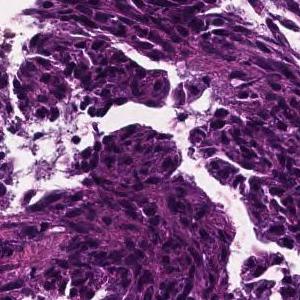
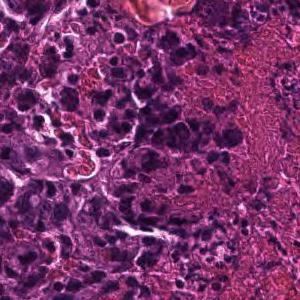
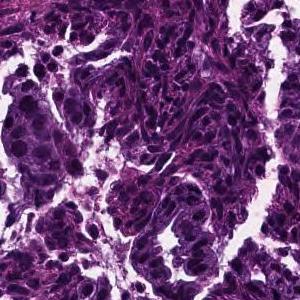
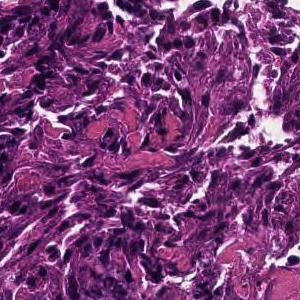
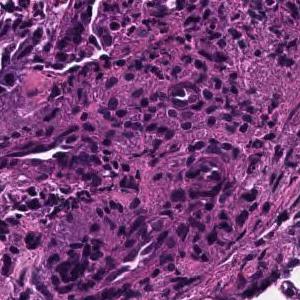
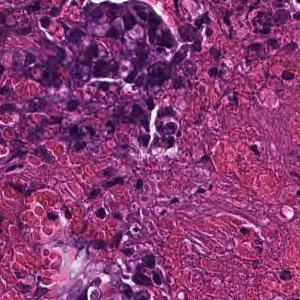
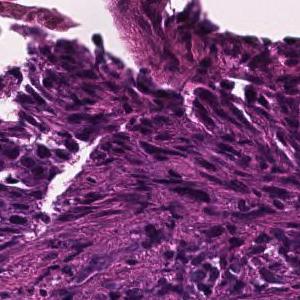
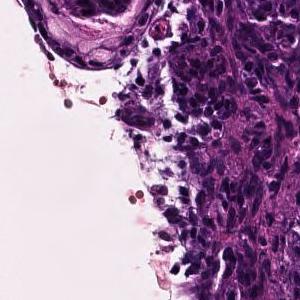
Scanned at ×20, hematoxylin and eosin stain, 8 tiles cut from one stomach biopsy slide.
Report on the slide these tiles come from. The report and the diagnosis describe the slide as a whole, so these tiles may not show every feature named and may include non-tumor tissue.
Tumor tissue consisting of medium-sized, cord-like or irregular glandular infiltration is observed in the superficial epithelium. Poorly differentiated adenocarcinoma, non-solid type or moderately differentiated tubular adenocarcinoma
Classified as moderately to poorly differentiated adenocarcinoma.
The term "non-solid type" comes from the Japanese Classification of Gastric Carcinoma.
